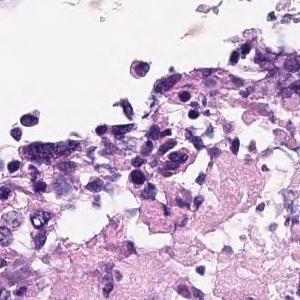
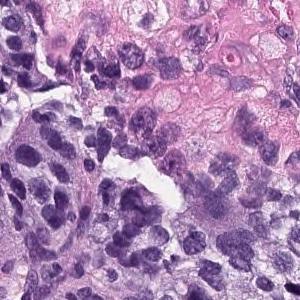
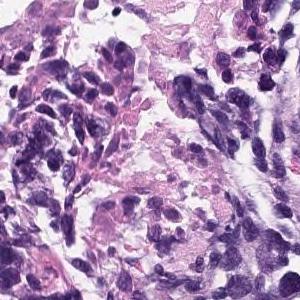
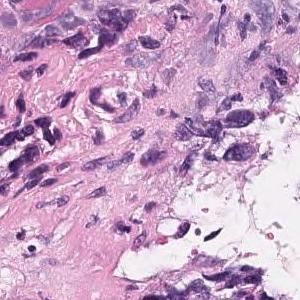
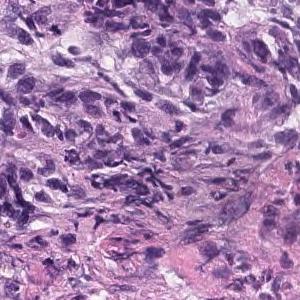
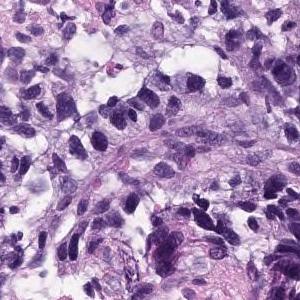
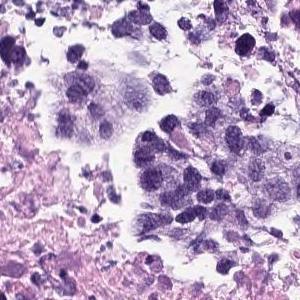
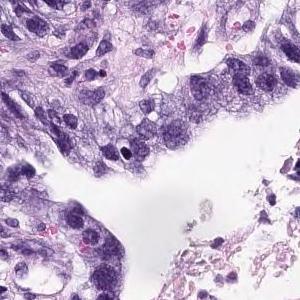
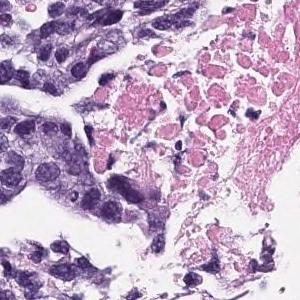
H&E stain · ×20 · 9 patches cut from one gastric biopsy slide.
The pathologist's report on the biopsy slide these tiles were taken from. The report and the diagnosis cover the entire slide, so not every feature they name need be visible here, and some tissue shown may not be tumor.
The superficial epithelium shows a large sheet-like shape, and some tumor tissue infiltrates with small irregular ducts. Poorly differentiated adenocarcinoma, solid-type
Classified as poorly differentiated adenocarcinoma, solid type (Japanese Classification of Gastric Carcinoma). The WHO 2019 equivalent is tubular adenocarcinoma, poorly differentiated.
